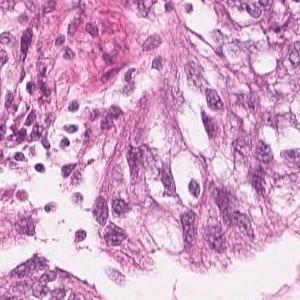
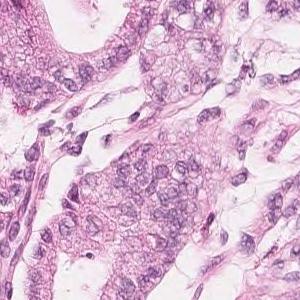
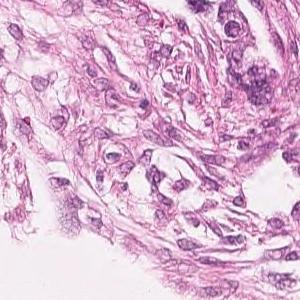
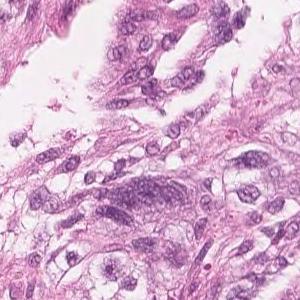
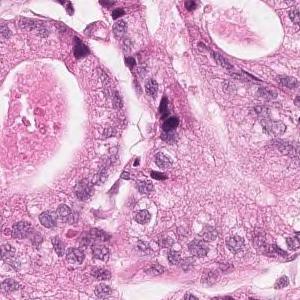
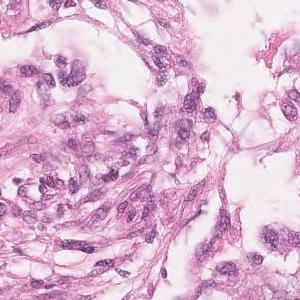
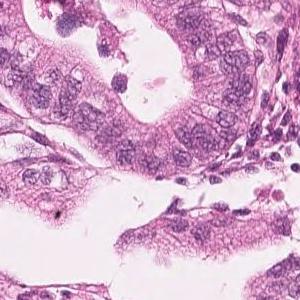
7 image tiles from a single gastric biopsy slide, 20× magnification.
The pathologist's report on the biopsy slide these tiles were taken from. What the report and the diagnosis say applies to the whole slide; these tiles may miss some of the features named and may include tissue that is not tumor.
Highly columnar epithelium with disordered nuclear localization proliferates showing fusion ductal construction. moderately differentiated tubular adenocarcinoma
